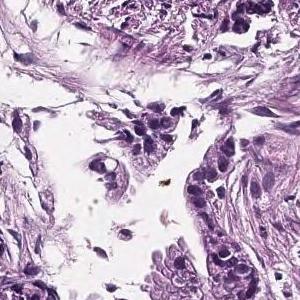
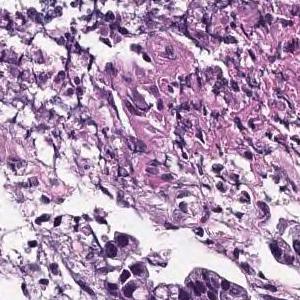
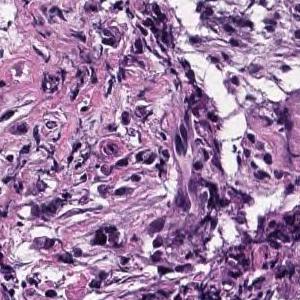
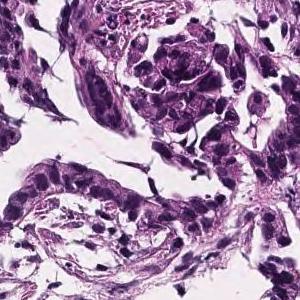
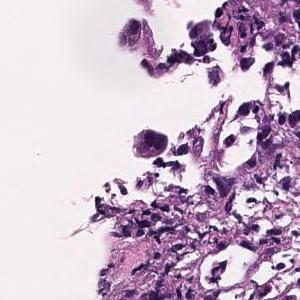
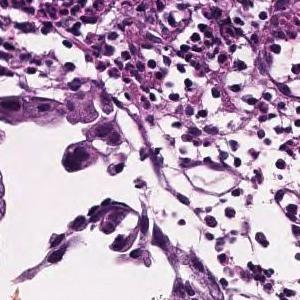
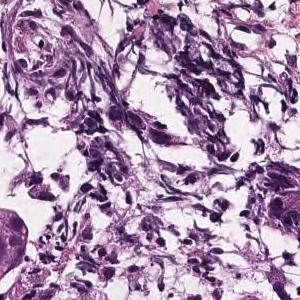
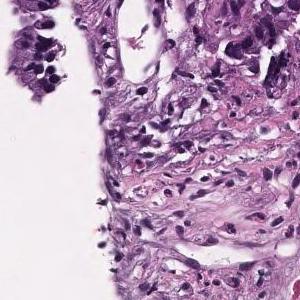
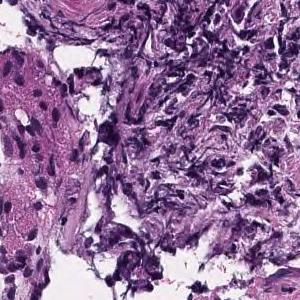
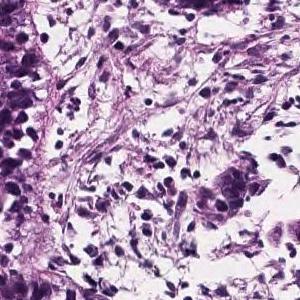
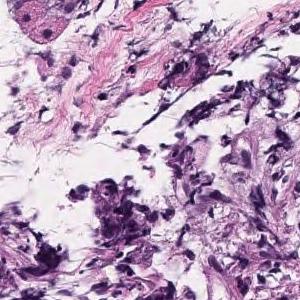
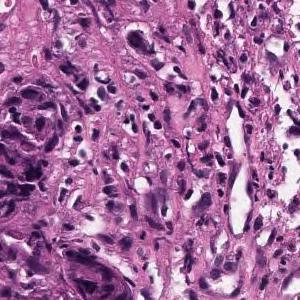
12 image tiles from a single gastric biopsy slide; 300 × 300 pixels each.
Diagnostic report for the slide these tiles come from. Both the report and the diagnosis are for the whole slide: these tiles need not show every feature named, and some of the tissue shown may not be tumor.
In the superficial epithelium, tumor tissue that invades by forming medium-sized to small, irregular ducts is observed. moderately differentiated tubular adenocarcinoma.
